14 tiles from the same stomach biopsy slide; 300×300 px each; hematoxylin and eosin stain.
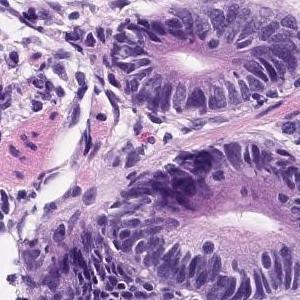
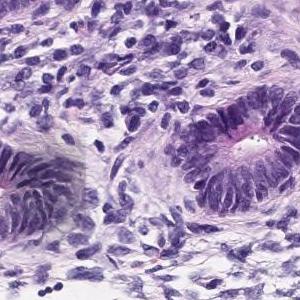
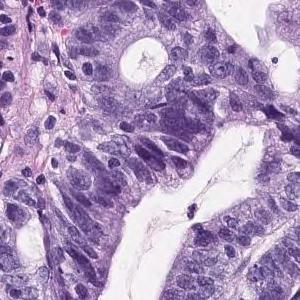
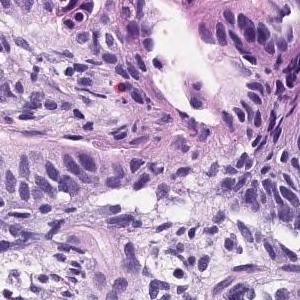
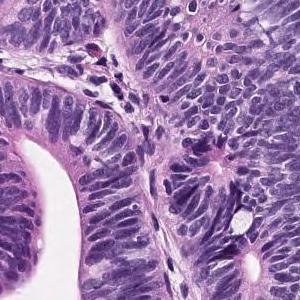
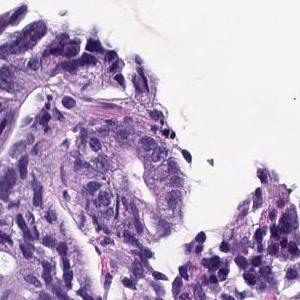
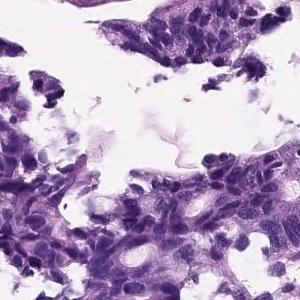
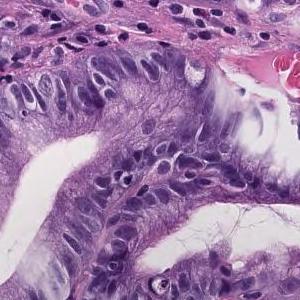
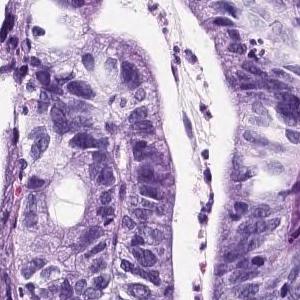
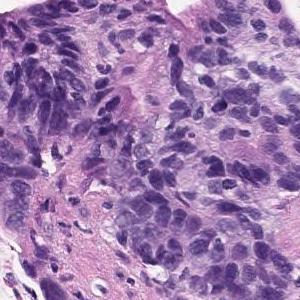
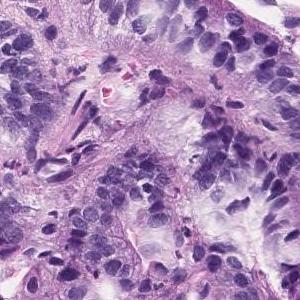
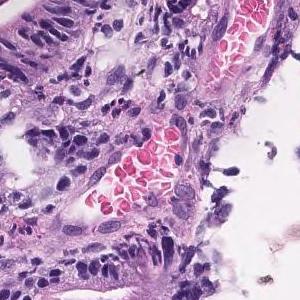
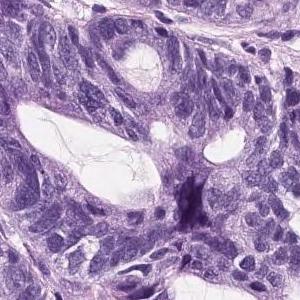
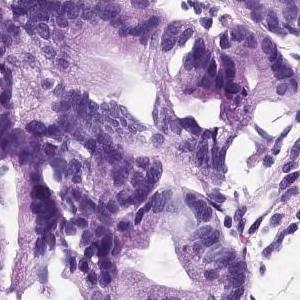
The pathologist's report on the biopsy slide these tiles were taken from. The report and the diagnosis describe the slide as a whole, so these tiles may not show every feature named and may include non-tumor tissue.
On the superficial epithelium, tumor tissue consisting of medium-sized to large-sized, round or irregular glandular duct growth images is observed. Well differentiated adenocarcinoma.
Classified as well differentiated tubular adenocarcinoma.
